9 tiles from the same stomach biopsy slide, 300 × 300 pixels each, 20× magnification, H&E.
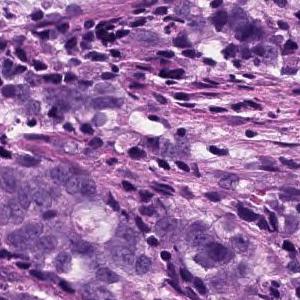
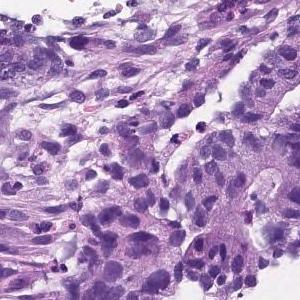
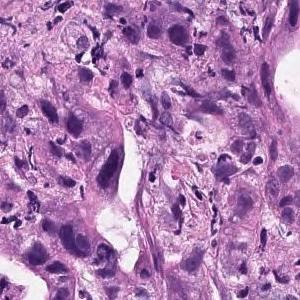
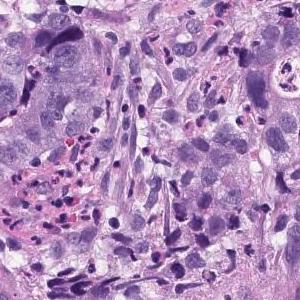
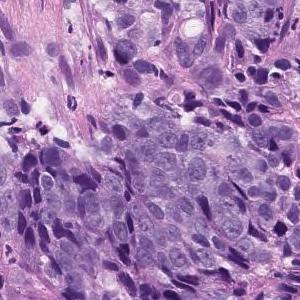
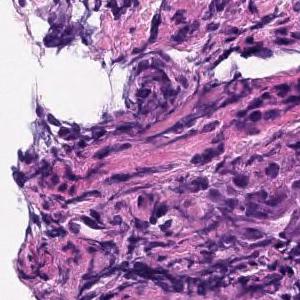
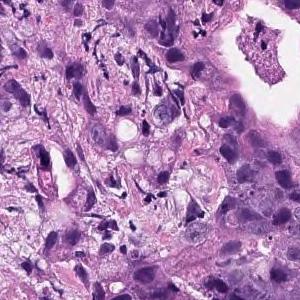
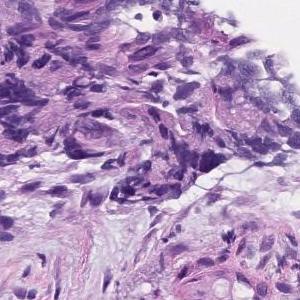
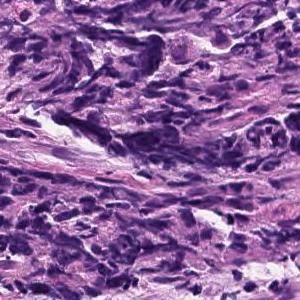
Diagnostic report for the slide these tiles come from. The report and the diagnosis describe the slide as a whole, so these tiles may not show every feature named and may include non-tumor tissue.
Medium to small, irregular glandular ducts are formed in the superficial epithelium, and in some cases, the glandular ducts are fused to show solid alveolar lesions and infiltrating tumor tissue is observed. Moderately to poorly differentiated adenocarcinoma.
